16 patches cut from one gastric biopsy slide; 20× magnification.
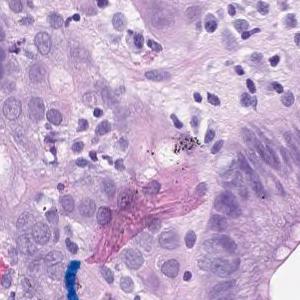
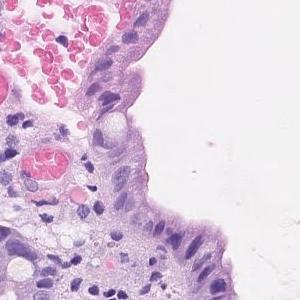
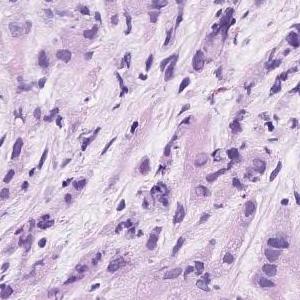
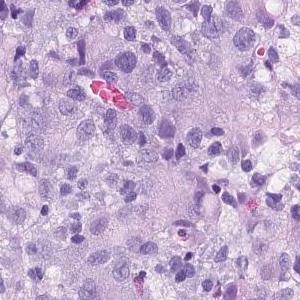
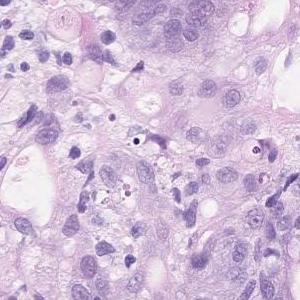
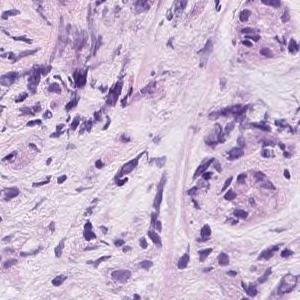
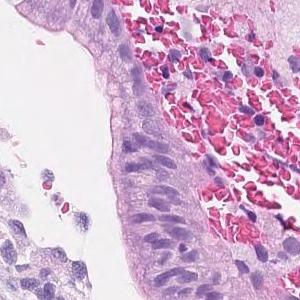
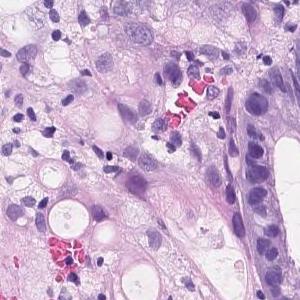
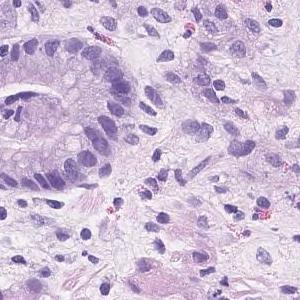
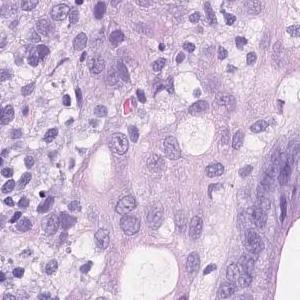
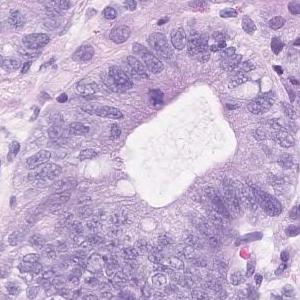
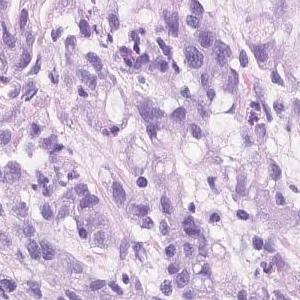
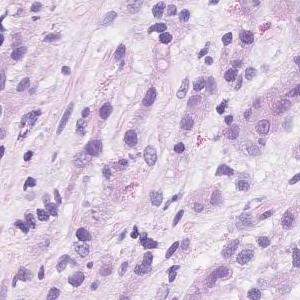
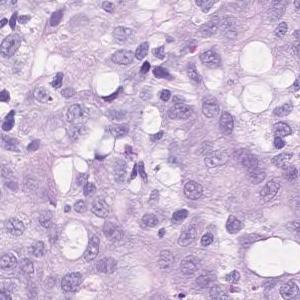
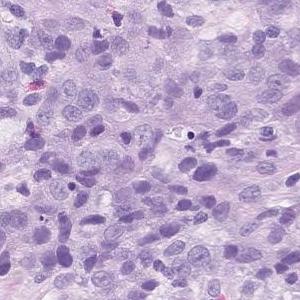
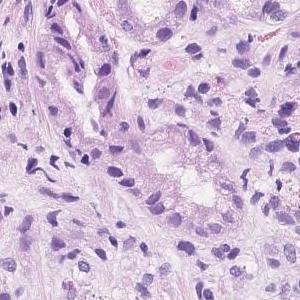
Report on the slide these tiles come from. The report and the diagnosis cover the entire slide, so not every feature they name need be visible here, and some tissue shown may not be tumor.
Group 5, Adenocarcinoma. Poorly differentiated adenocarcinoma, non-solid type
"Non-solid type" is a category of the Japanese Classification of Gastric Carcinoma.
